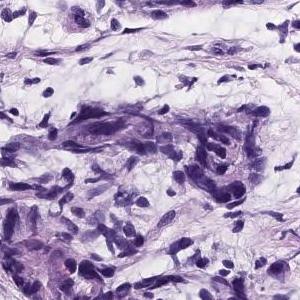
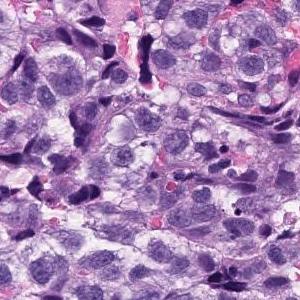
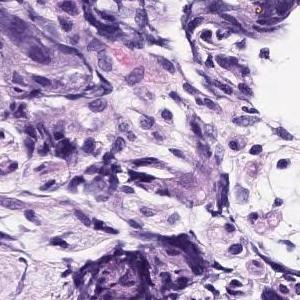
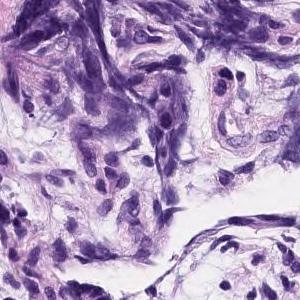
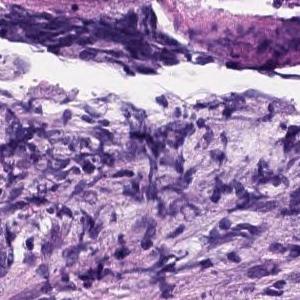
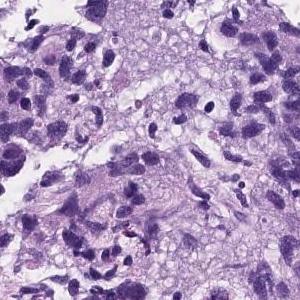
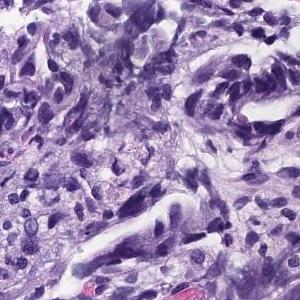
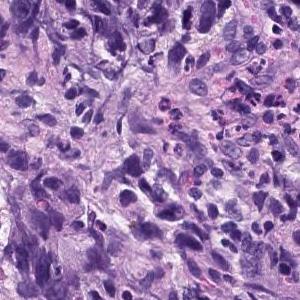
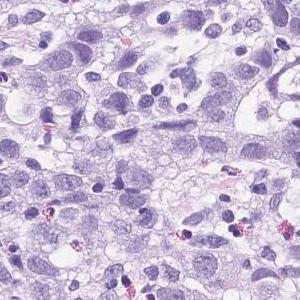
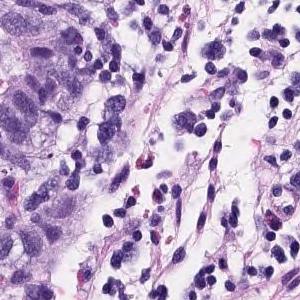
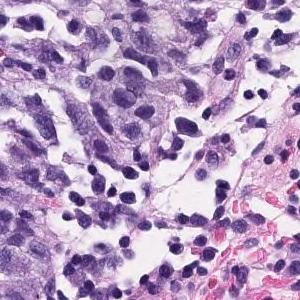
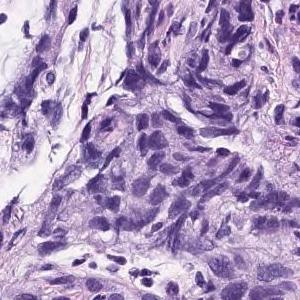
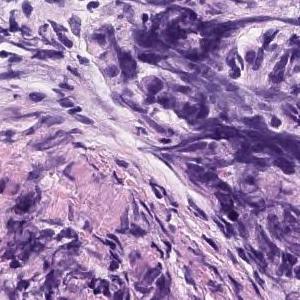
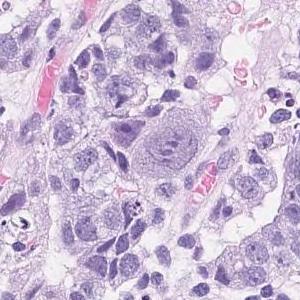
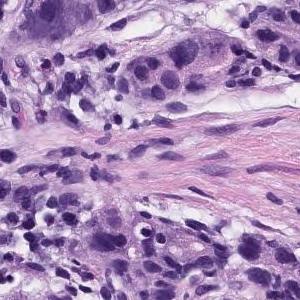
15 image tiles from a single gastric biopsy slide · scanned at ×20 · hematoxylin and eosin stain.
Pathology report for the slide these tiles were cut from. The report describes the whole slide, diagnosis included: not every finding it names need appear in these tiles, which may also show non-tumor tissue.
Atypical epithelial cells with an increased N/C ratio proliferate and consist of a part that shows the formation of gland ducts and a part that shows solid growth. Poorly differentiated adenocarcinoma, solid-type
Histologic type: Poorly differentiated adenocarcinoma, solid type, a category of the Japanese Classification of Gastric Carcinoma; in the WHO 2019 classification it is tubular adenocarcinoma, poorly differentiated.
